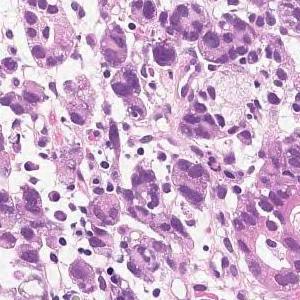
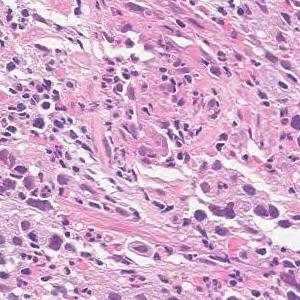
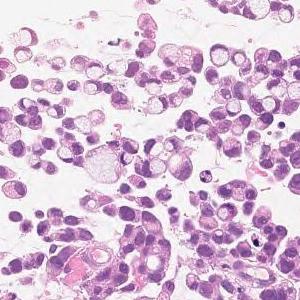
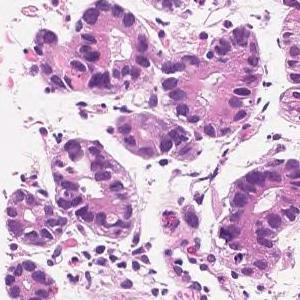
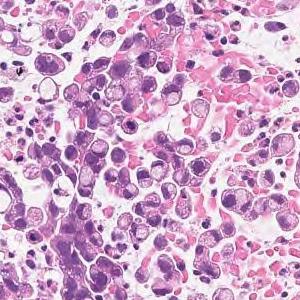
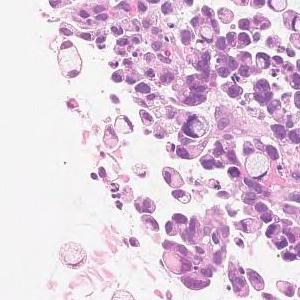
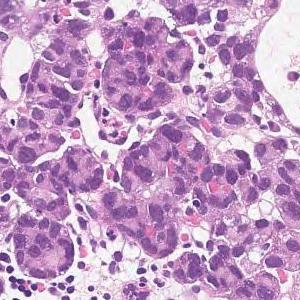
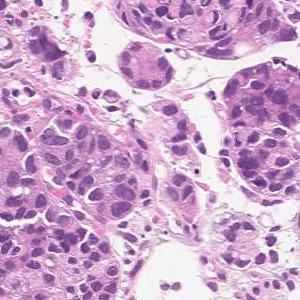
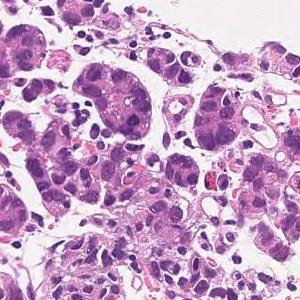
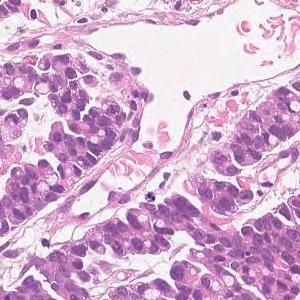
Hematoxylin and eosin stain · 10 image tiles from a single gastric biopsy slide.
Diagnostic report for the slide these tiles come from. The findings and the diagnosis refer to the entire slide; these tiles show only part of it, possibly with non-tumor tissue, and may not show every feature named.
Medium to small, irregular glandular ducts are formed in the superficial epithelium, and in some cases, the glandular ducts are fused to show solid alveolar lesions and infiltrating tumor tissue is observed. Moderately to poorly differentiated adenocarcinoma.
